H&E stain, 13 image tiles from a single gastric biopsy slide.
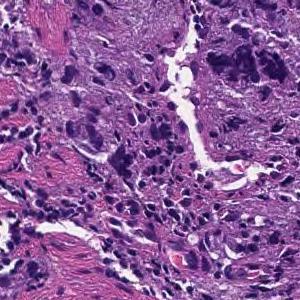
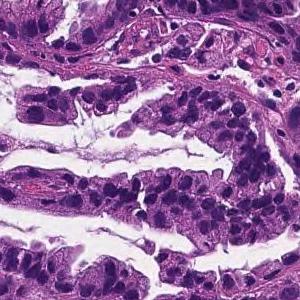
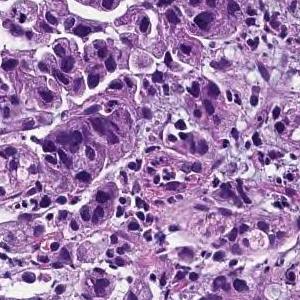
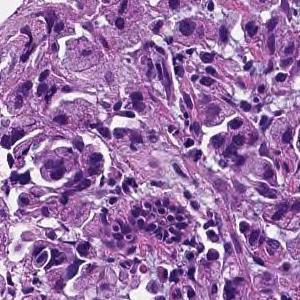
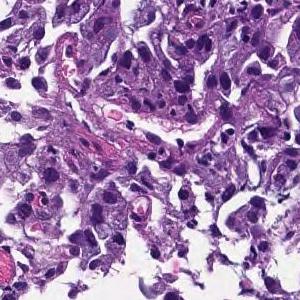
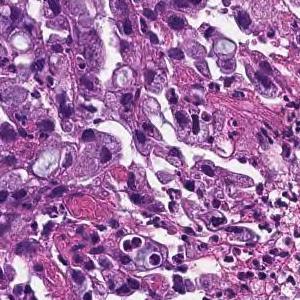
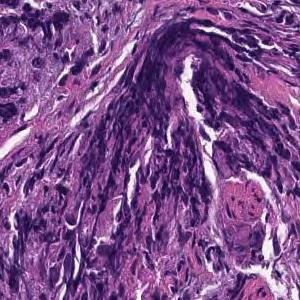
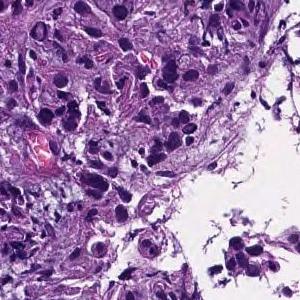
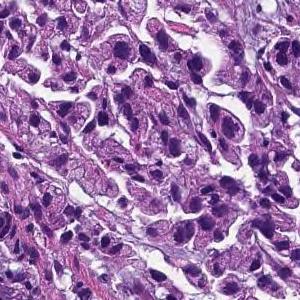
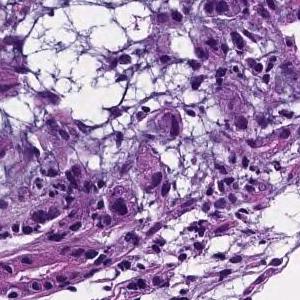
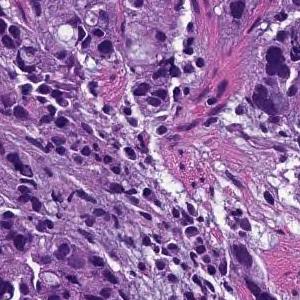
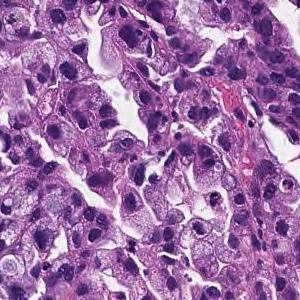
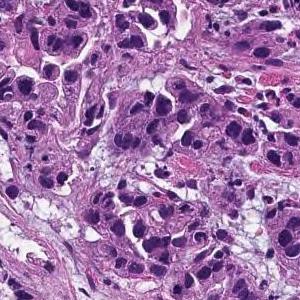
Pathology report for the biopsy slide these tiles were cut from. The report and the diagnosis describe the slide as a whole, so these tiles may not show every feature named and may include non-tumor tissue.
Tumor tissue consisting of medium-sized, cord-like or irregular glandular infiltration is observed in the superficial epithelium. Poorly differentiated adenocarcinoma, non-solid type or moderately differentiated tubular adenocarcinoma
Histological subtype: Moderately to poorly differentiated adenocarcinoma.
The term "non-solid type" comes from the Japanese Classification of Gastric Carcinoma.
